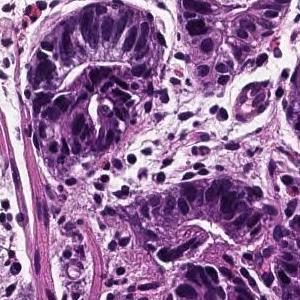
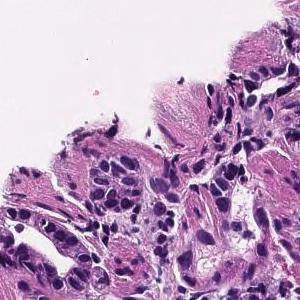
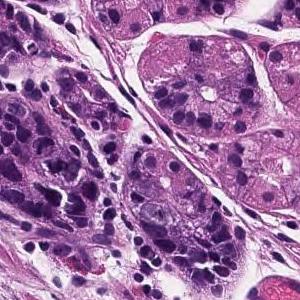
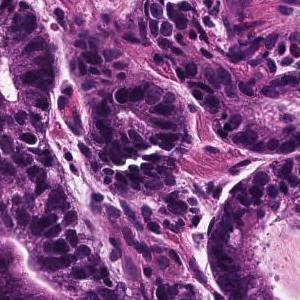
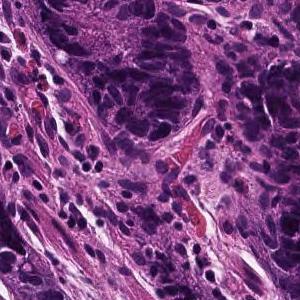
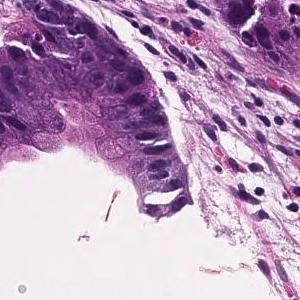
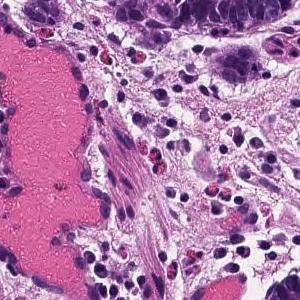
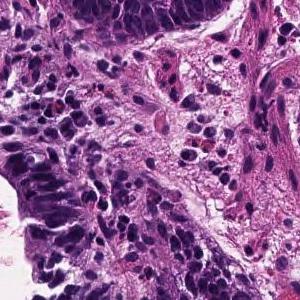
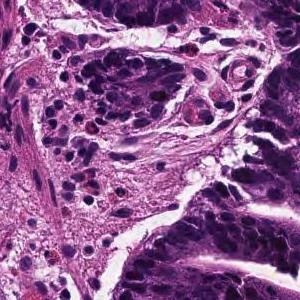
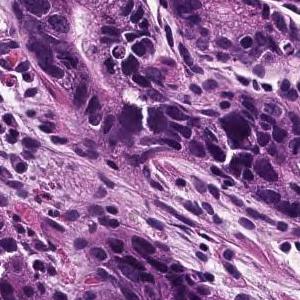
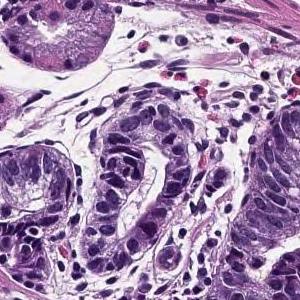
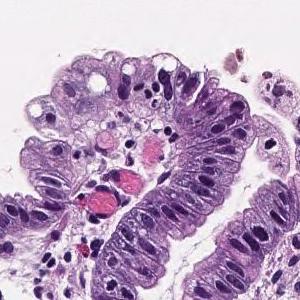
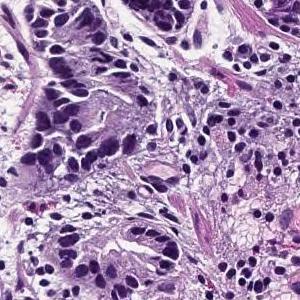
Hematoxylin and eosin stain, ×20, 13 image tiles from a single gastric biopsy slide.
Diagnostic report for the slide these tiles come from. Both the report and the diagnosis are for the whole slide: these tiles need not show every feature named, and some of the tissue shown may not be tumor.
In the superficial epithelium, tumor tissue that invades by forming medium-sized to small, irregular ducts is observed. Well differentiated tubular adenocarcinoma.
